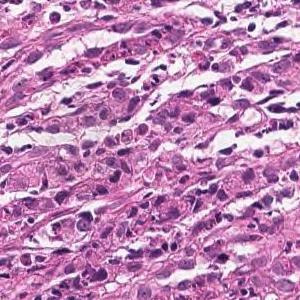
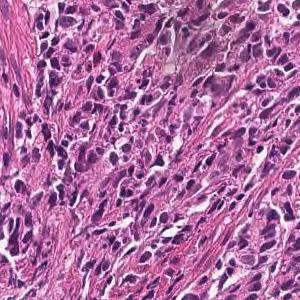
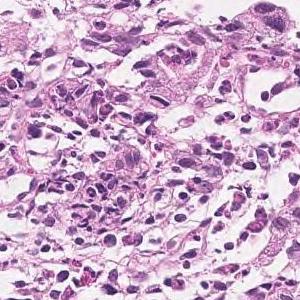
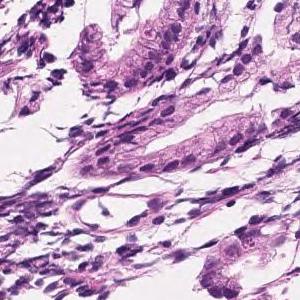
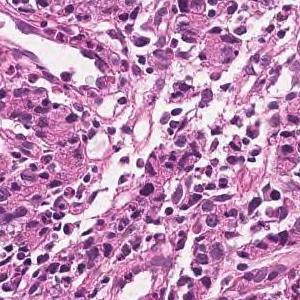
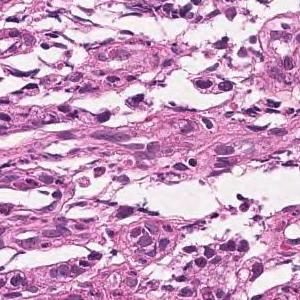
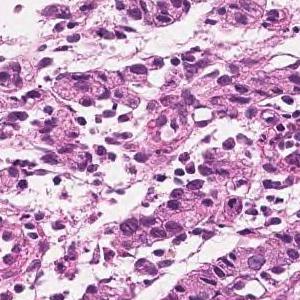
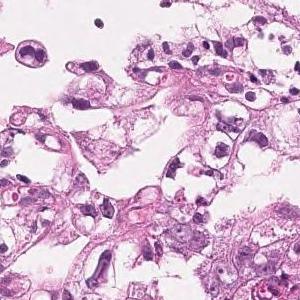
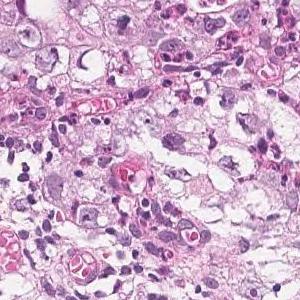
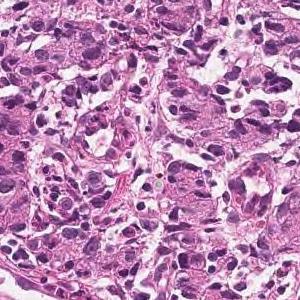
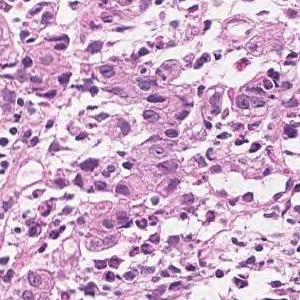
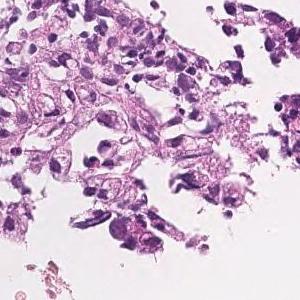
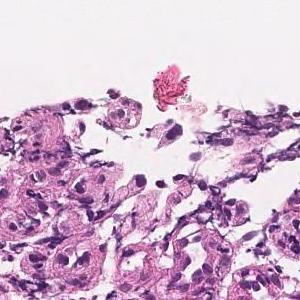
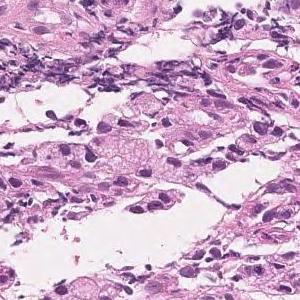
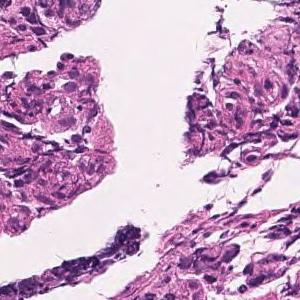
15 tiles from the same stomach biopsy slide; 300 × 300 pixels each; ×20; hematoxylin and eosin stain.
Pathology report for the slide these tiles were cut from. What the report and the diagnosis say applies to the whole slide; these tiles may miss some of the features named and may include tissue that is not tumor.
In the superficial epithelium, medium to small, irregular glandular ducts are formed, and in some parts, the glandular ducts are fused, and in other parts, small cord-like infiltrating tumor tissue is observed. Moderately to poorly differentiated adenocarcinoma.
